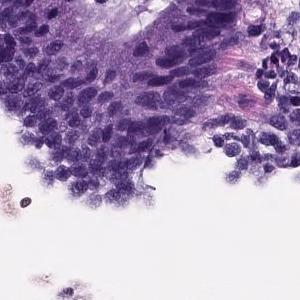
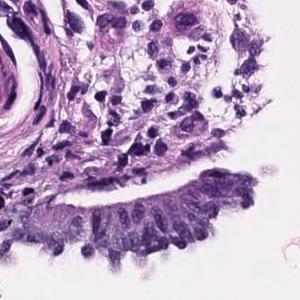
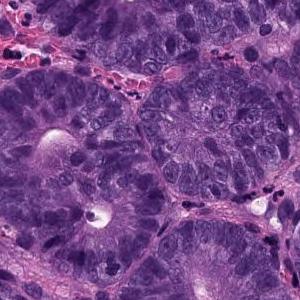
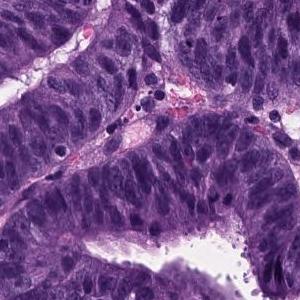
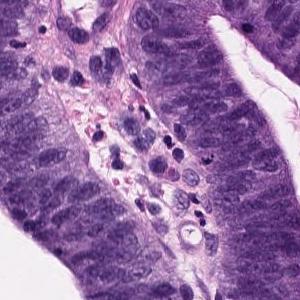
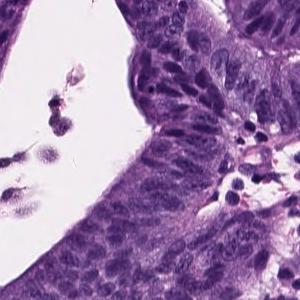
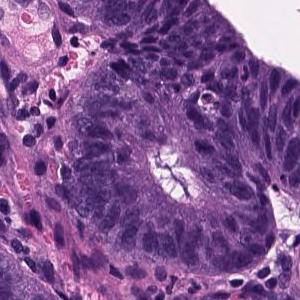
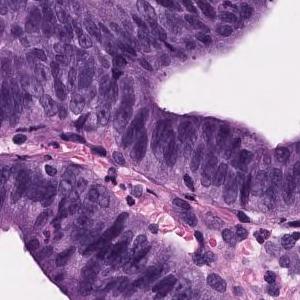
8 image tiles from a single gastric biopsy slide · each 300 × 300 pixels · 20× magnification · hematoxylin and eosin stain.
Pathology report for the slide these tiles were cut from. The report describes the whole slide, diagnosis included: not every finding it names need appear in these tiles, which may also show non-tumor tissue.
Papillo-tubular growth of atypical tubules with nuclear swelling is observed. Well differentiated tubular adenocarcinoma
